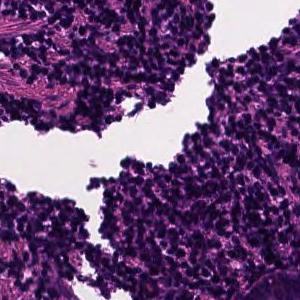
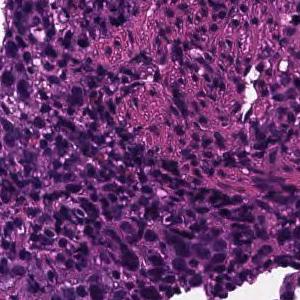
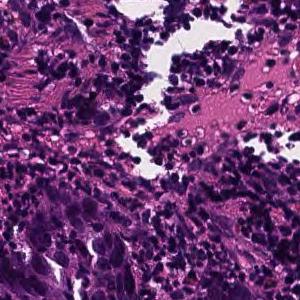
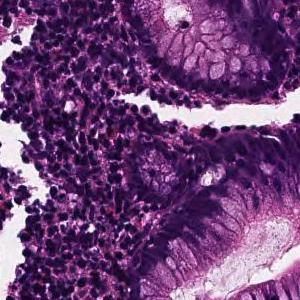
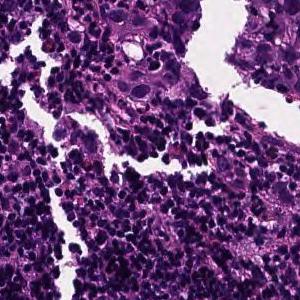
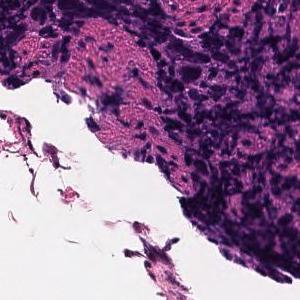
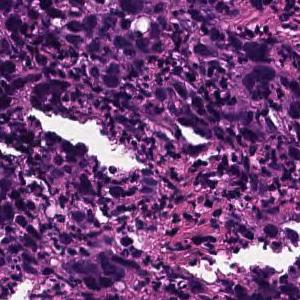
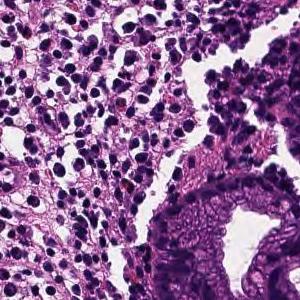
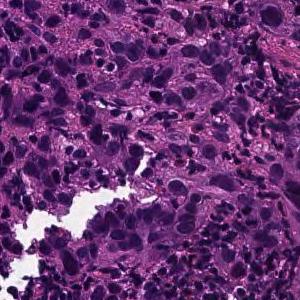
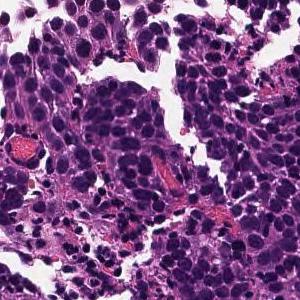
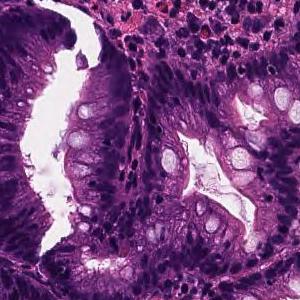
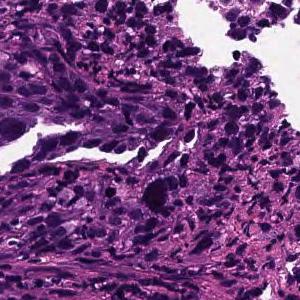
×20; hematoxylin and eosin stain; 12 tiles from the same stomach biopsy slide; 300×300 px each.
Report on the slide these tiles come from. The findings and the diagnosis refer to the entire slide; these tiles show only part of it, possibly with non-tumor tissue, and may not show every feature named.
Tumor tissue consisting of cord-like or small, irregular glandular ducts fused and infiltrated is observed in the superficial epithelium. Poorly differentiated adenocarcinoma, non-solid type
The non-solid type named here is a Japanese Classification of Gastric Carcinoma category.
